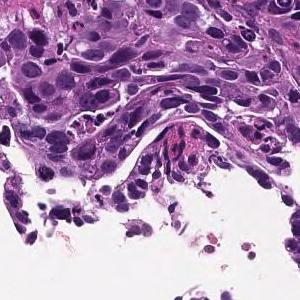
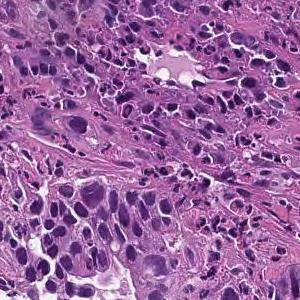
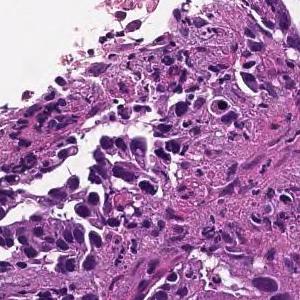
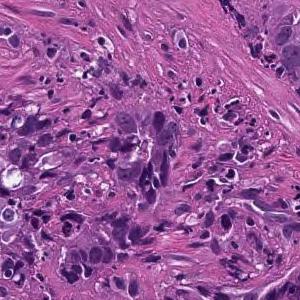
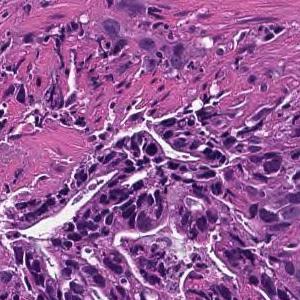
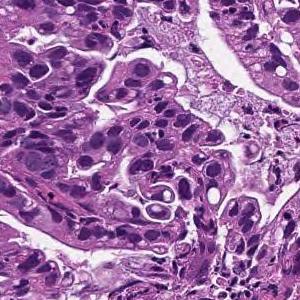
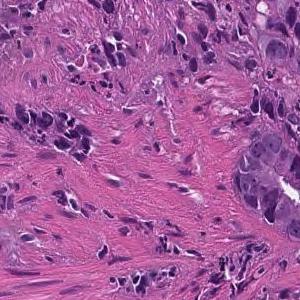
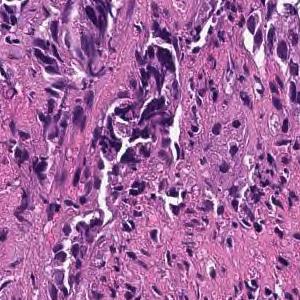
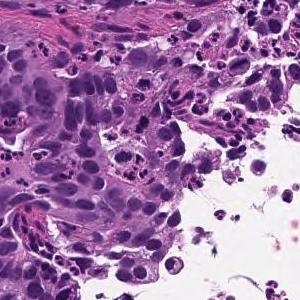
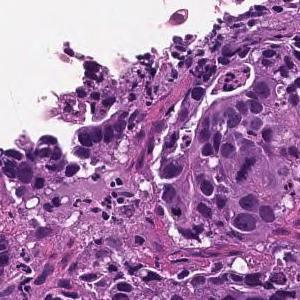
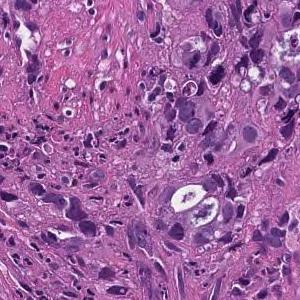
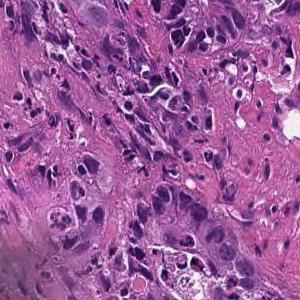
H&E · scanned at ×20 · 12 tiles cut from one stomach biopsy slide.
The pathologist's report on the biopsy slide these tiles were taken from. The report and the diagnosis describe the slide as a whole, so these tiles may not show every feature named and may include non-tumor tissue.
Tumor tissue consisting of medium-sized, cord-like or irregular glandular infiltration is observed in the superficial epithelium. Poorly differentiated adenocarcinoma, non-solid type or moderately differentiated tubular adenocarcinoma
Tumor subtype: moderately to poorly differentiated adenocarcinoma.
The non-solid type named here is a Japanese Classification of Gastric Carcinoma category.
